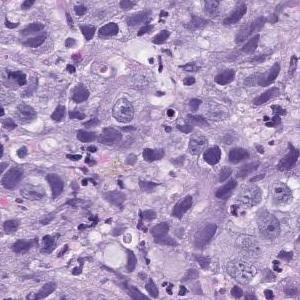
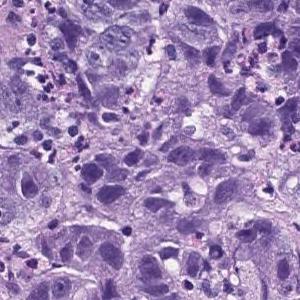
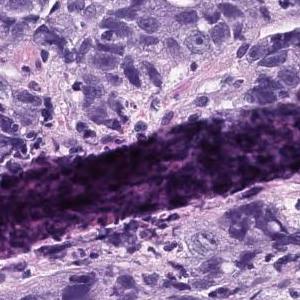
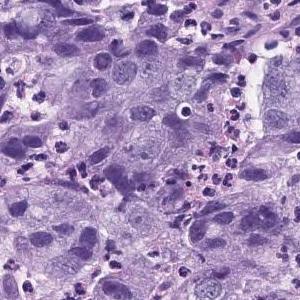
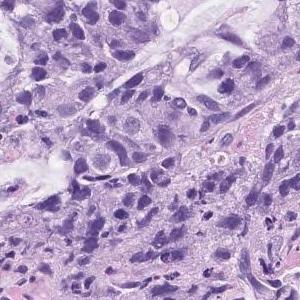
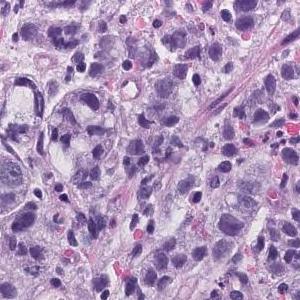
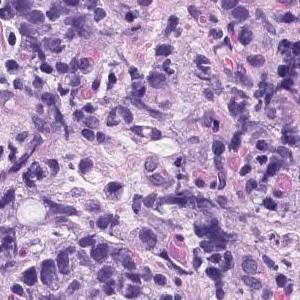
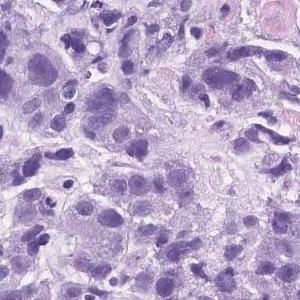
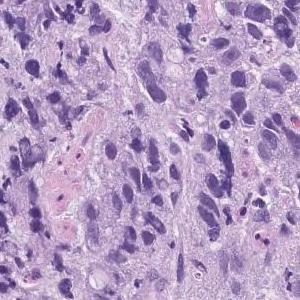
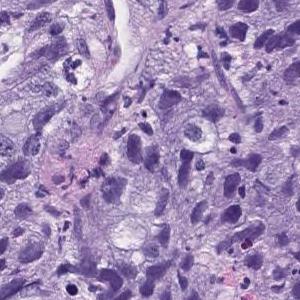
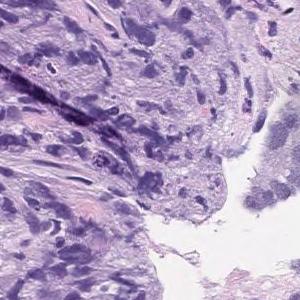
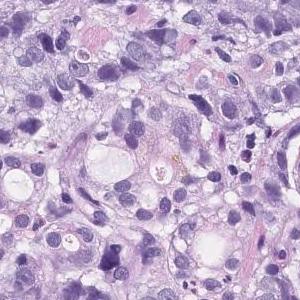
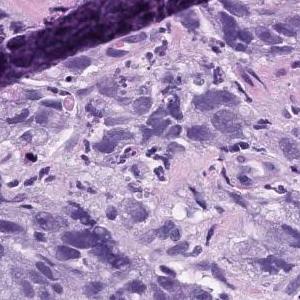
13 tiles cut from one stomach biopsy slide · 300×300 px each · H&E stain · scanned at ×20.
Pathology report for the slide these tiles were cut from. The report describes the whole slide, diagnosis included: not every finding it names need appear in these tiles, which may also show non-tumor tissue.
Atypical l cells with atypical nuclei forming solid vesicles or small irregular atypical ducts that proliferate in a complex manner. poorly differentiated adenocarcinoma, solid type, moderately differentiated tubular adenocarcinoma
"Solid type" is a category of the Japanese Classification of Gastric Carcinoma; in the WHO 2019 classification it is tubular adenocarcinoma, poorly differentiated.
